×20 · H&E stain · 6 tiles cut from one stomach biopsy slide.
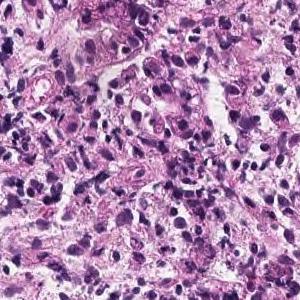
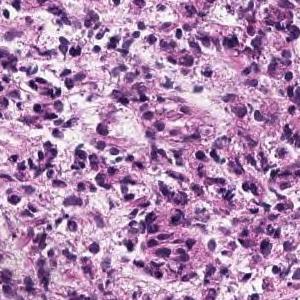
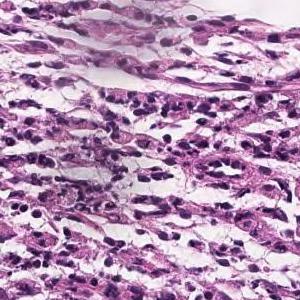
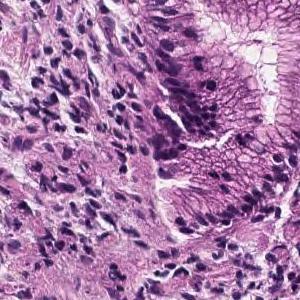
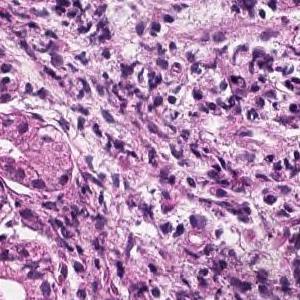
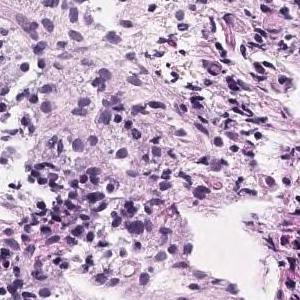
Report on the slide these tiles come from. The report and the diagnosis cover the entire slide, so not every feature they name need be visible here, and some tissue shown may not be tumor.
In the lamina propria, a tumor tissue consisting of signet ring cell type atypical epithelial cells infiltrating is observed. Signet ring cell carcinoma.
